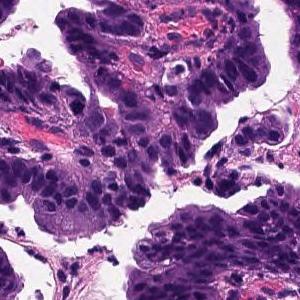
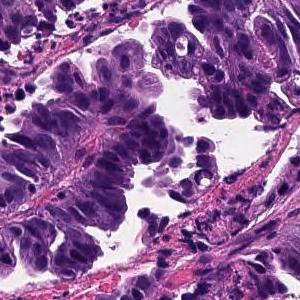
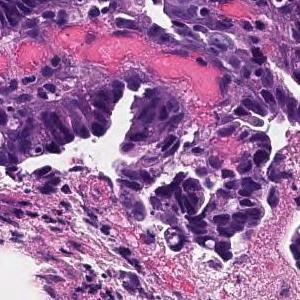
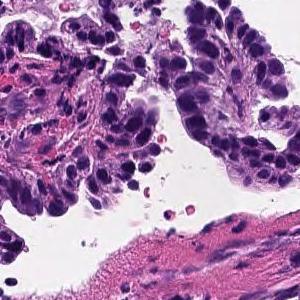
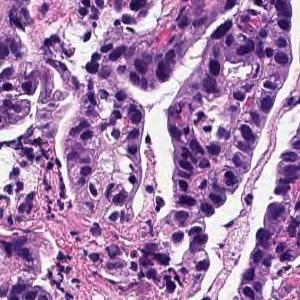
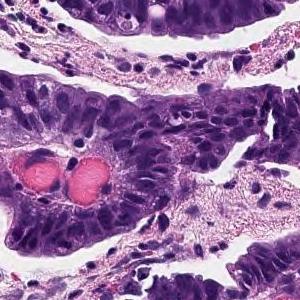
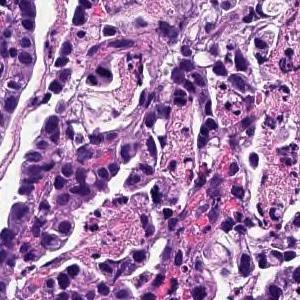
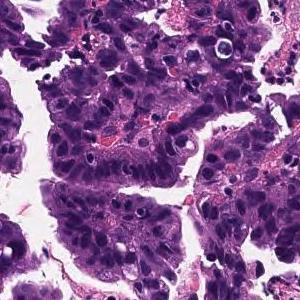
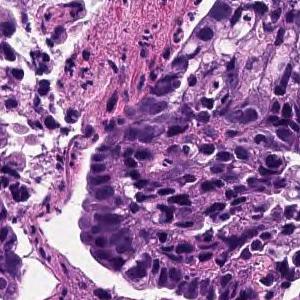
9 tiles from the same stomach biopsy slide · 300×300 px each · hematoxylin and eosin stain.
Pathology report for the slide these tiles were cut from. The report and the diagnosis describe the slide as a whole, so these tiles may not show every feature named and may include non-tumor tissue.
Infiltrating tumor tissue is observed in the superficial epithelium, showing large papillary structures or large and small ducts. Papillary adenocarcinoma
